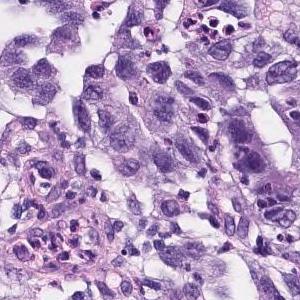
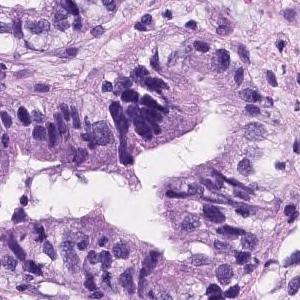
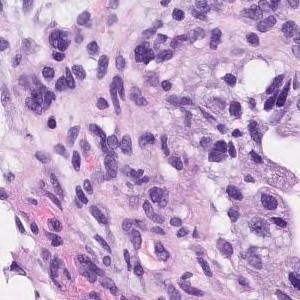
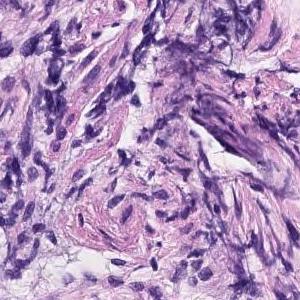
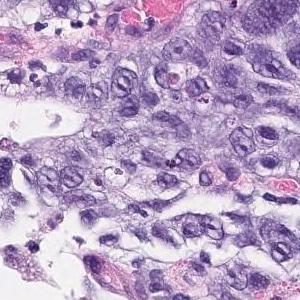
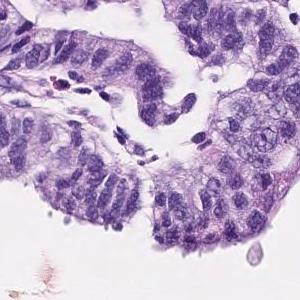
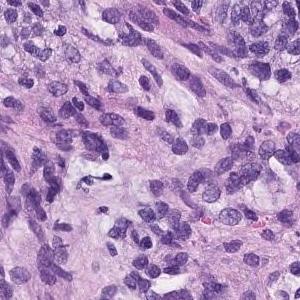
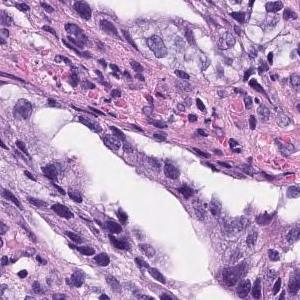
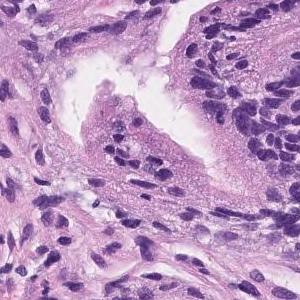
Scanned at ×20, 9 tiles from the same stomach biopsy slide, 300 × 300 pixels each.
Pathology report for the biopsy slide these tiles were cut from. The report describes the whole slide, diagnosis included: not every finding it names need appear in these tiles, which may also show non-tumor tissue.
Tumor cells are large, highly columnar, large club-shaped nuclei, and are associated with chromatin aggregation. Papillary adenocarcinoma.
